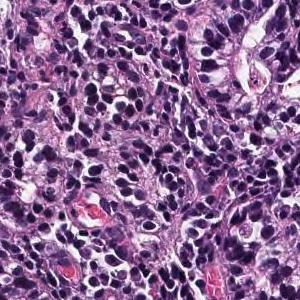
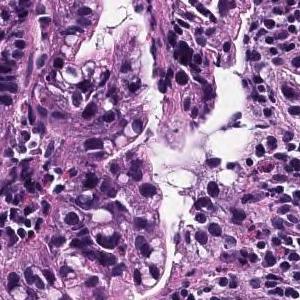
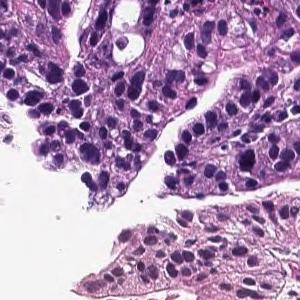
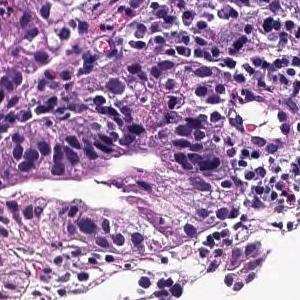
H&E, scanned at ×20, 4 tiles from the same stomach biopsy slide.
The pathologist's report on the biopsy slide these tiles were taken from. The report describes the whole slide, diagnosis included: not every finding it names need appear in these tiles, which may also show non-tumor tissue.
Neoplastic cells with atypical nuclei of different sizes exhibit tubular glands and infiltrate and proliferate. Moderately differentiated tubular adenocarcinoma.
